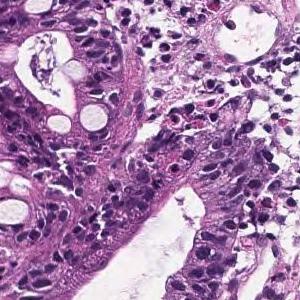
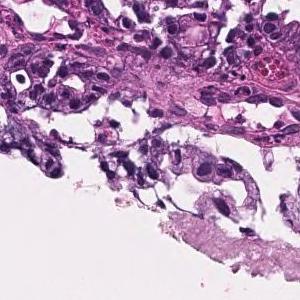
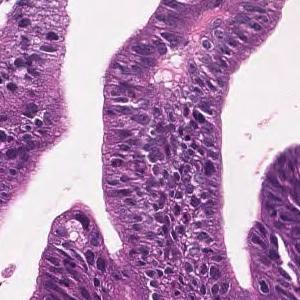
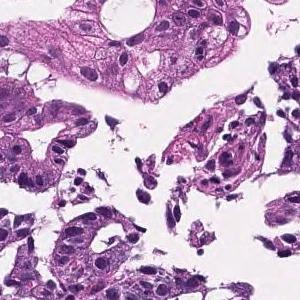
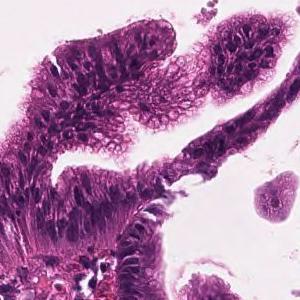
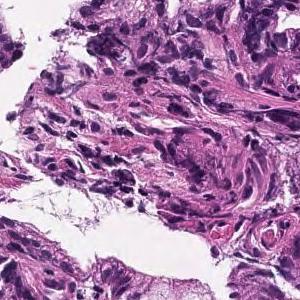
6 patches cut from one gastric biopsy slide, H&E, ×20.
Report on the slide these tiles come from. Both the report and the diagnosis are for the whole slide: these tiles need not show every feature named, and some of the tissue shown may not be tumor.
In the superficial epithelium, tumor tissue that invades by forming medium-sized to small, irregular ducts is observed. Well differentiated tubular adenocarcinoma.
